13 tiles from the same stomach biopsy slide, each 300 × 300 pixels.
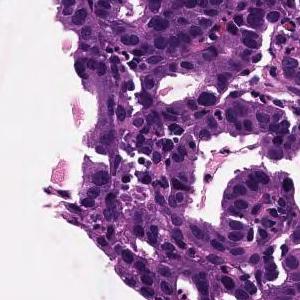
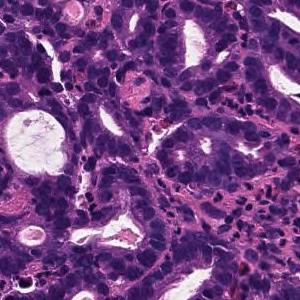
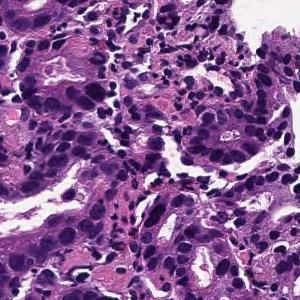
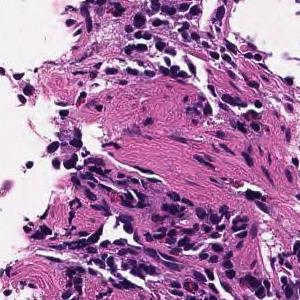
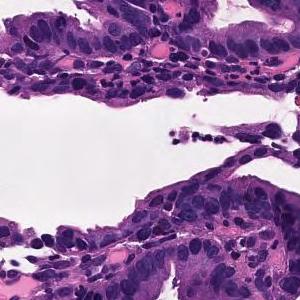
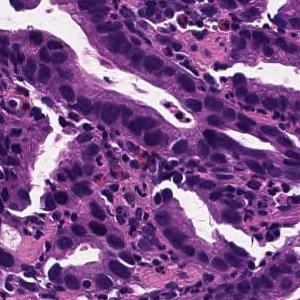
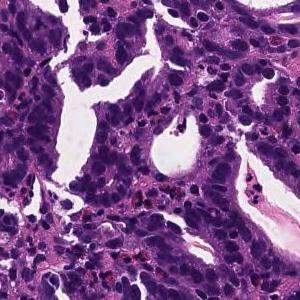
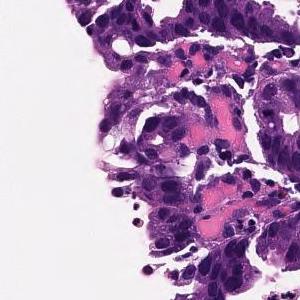
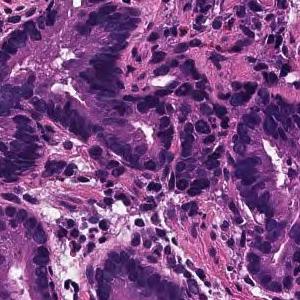
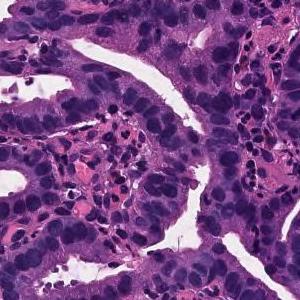
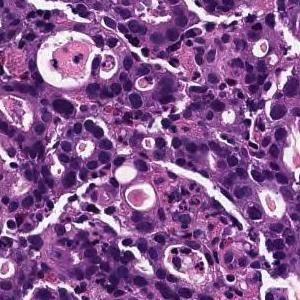
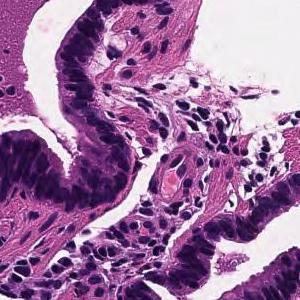
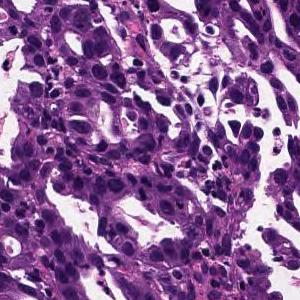
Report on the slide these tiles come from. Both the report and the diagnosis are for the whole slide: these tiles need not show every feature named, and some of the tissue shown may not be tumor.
On the superficial epithelium, tumor tissue is found in which medium-sized irregular gland ducts fuse with each other and infiltrate. moderately differentiated tubular adenocarcinoma
